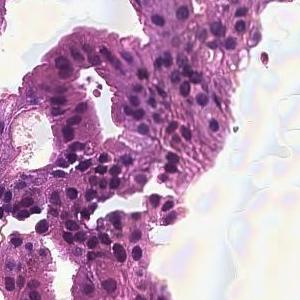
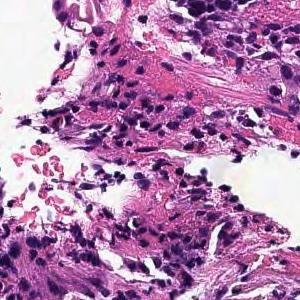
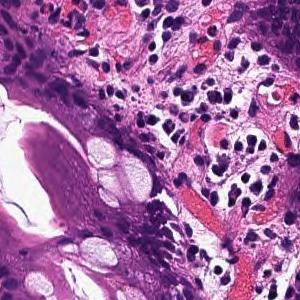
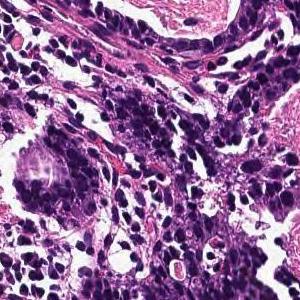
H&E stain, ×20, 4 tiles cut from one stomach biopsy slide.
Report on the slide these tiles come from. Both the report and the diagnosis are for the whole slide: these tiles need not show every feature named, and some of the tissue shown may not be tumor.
In the superficial epithelium, tumor tissue that invades by forming medium-sized to small, irregular ducts is observed. moderately differentiated tubular adenocarcinoma.
